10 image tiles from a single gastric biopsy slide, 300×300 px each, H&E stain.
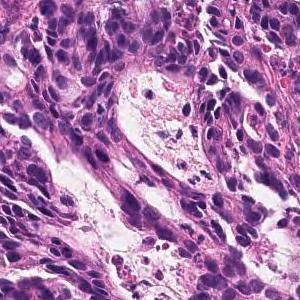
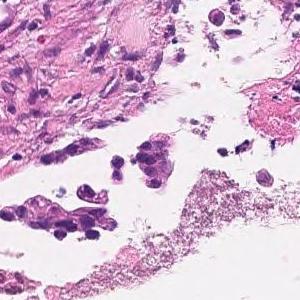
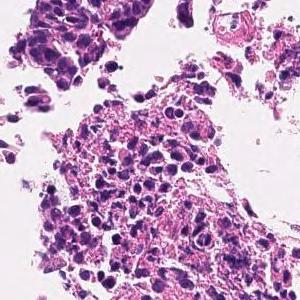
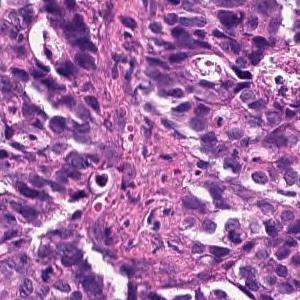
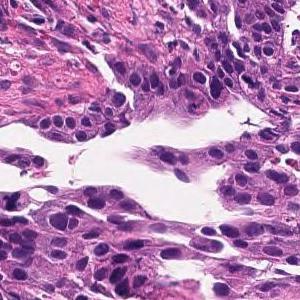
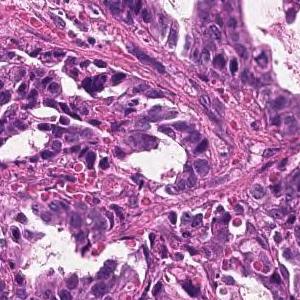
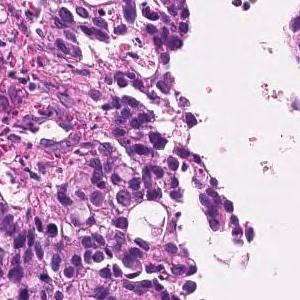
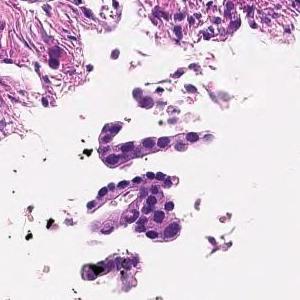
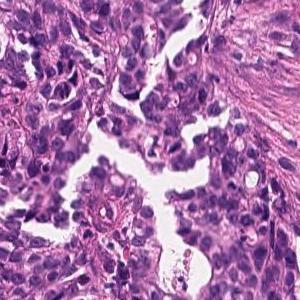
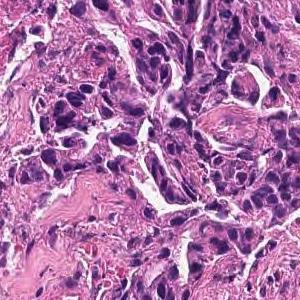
Pathology report for the biopsy slide these tiles were cut from. The report and the diagnosis cover the entire slide, so not every feature they name need be visible here, and some tissue shown may not be tumor.
On the superficial epithelium, tumor tissue consisting of images of small to medium-sized and irregular tubules infiltrating with irregular fusion is observed. moderately differentiated tubular adenocarcinoma
